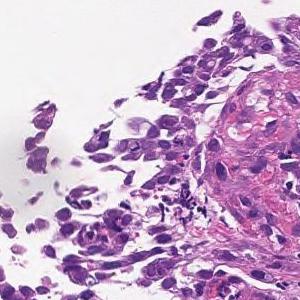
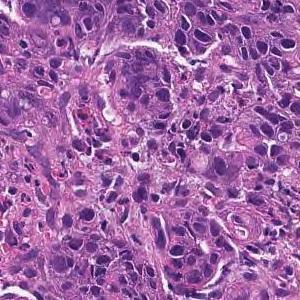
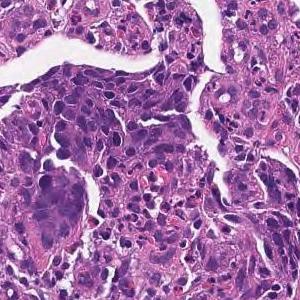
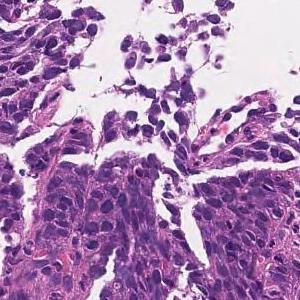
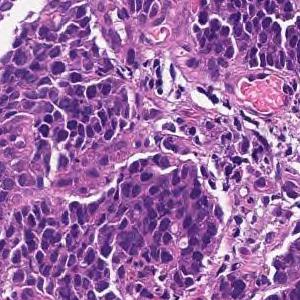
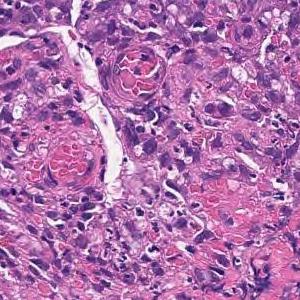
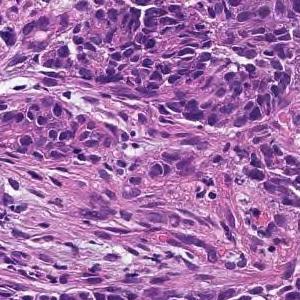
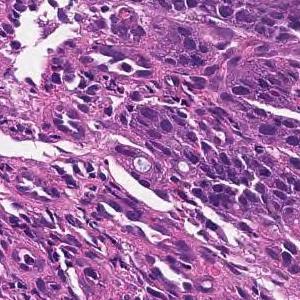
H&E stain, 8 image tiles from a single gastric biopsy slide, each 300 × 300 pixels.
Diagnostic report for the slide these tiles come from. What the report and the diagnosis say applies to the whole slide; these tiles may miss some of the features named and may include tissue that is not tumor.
Tumor tissue consisting of cord-like or small, irregular glandular ducts fused and infiltrated is observed in the superficial epithelium. Poorly differentiated adenocarcinoma, non-solid type
The term "non-solid type" comes from the Japanese Classification of Gastric Carcinoma.
